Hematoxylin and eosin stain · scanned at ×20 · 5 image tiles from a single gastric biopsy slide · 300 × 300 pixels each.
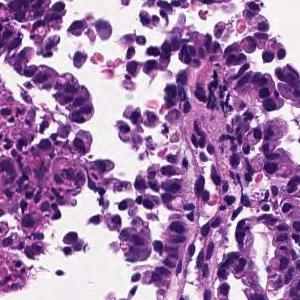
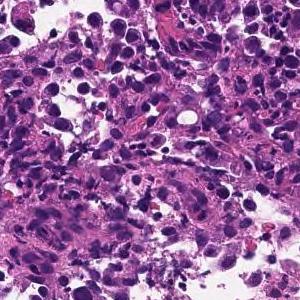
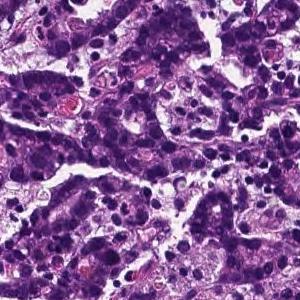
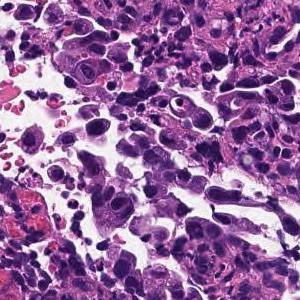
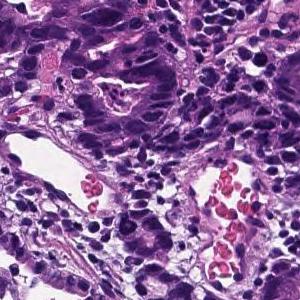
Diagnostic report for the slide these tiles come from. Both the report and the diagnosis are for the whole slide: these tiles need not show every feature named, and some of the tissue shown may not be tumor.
In the superficial epithelium, tumor tissue that invades by forming medium-sized to small, irregular ducts is observed. moderately differentiated tubular adenocarcinoma.
